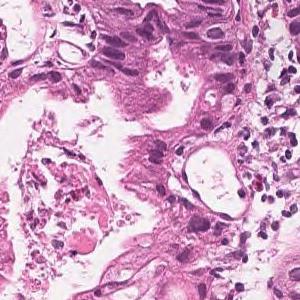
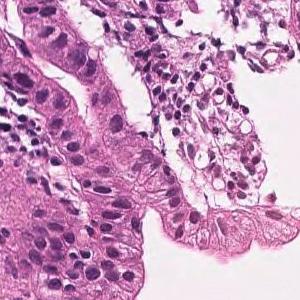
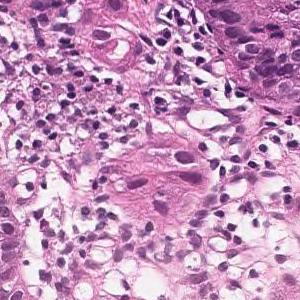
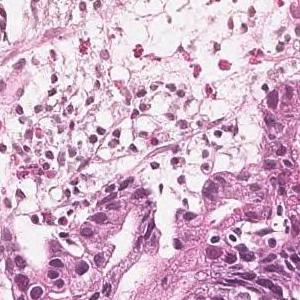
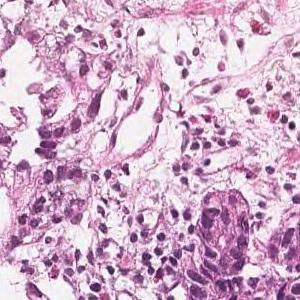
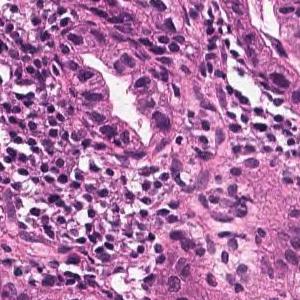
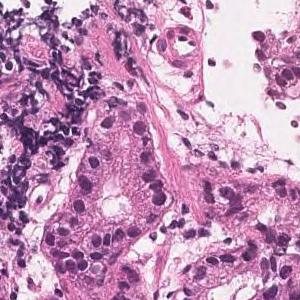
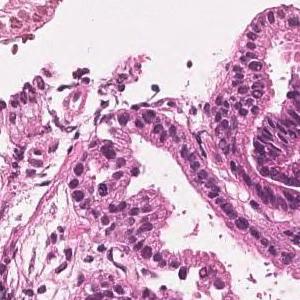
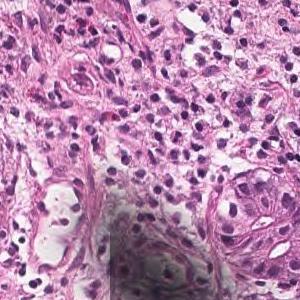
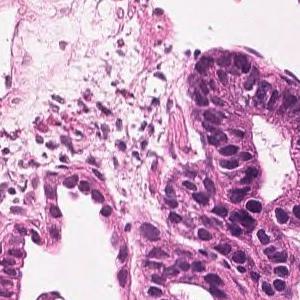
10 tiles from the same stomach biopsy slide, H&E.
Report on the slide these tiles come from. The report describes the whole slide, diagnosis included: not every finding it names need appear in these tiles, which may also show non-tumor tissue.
Tumor tissue consisting of medium-sized and irregular ducts is observed infiltrating in the superficial epithelium. Tumor cells are highly columnar, with nuclei aligned basolaterally and polarized. Well differentiated tubular adenocarcinoma.
